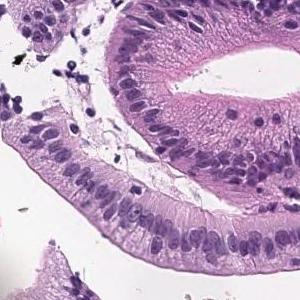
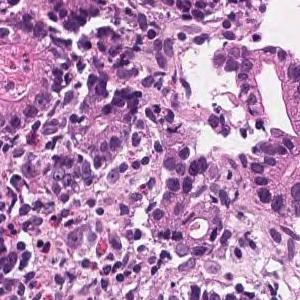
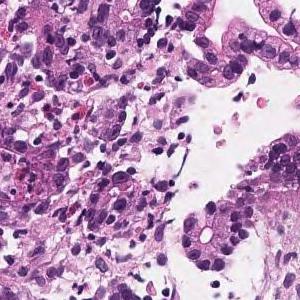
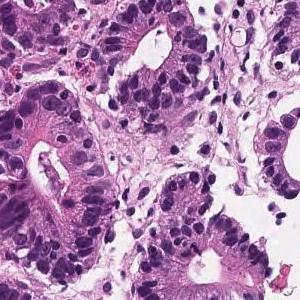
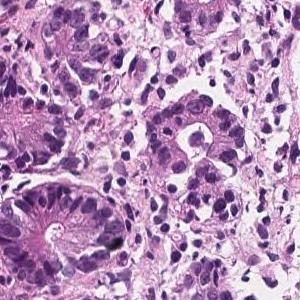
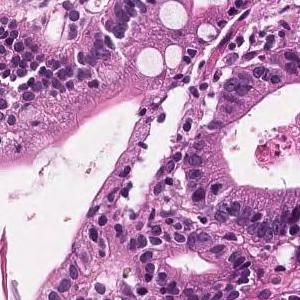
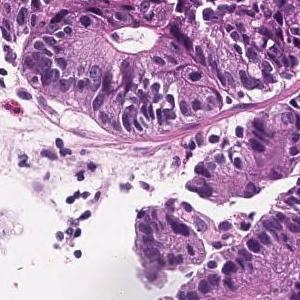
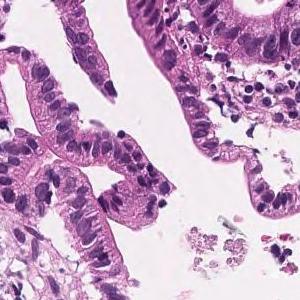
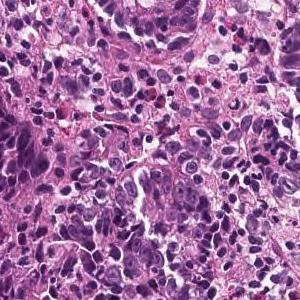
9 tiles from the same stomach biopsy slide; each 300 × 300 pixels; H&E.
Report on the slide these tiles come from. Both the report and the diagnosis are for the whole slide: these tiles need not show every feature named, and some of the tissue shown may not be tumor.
In the superficial epithelium, tumor tissue that invades by forming medium-sized to small, irregular ducts is observed. Moderately differentiated adenocarcinoma.
Classified as moderately differentiated tubular adenocarcinoma.
